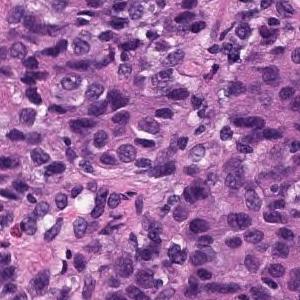
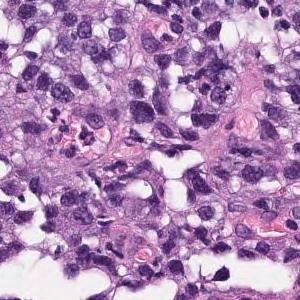
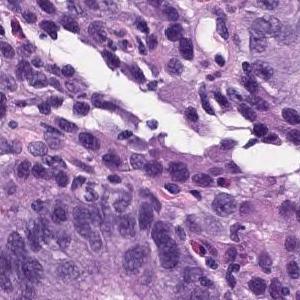
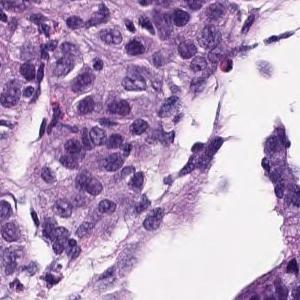
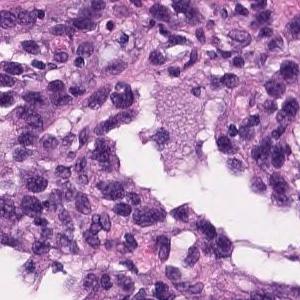
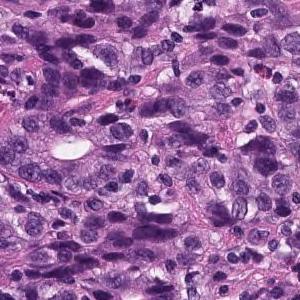
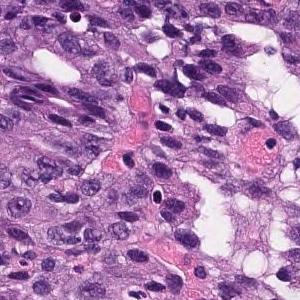
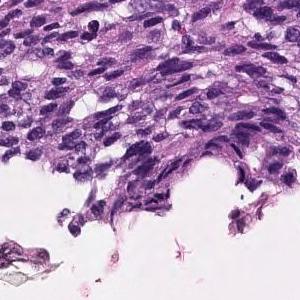
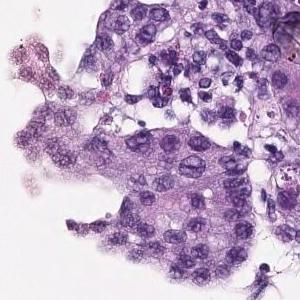
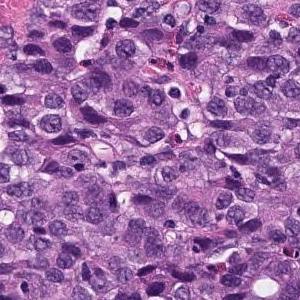
10 tiles from the same stomach biopsy slide · each 300 × 300 pixels · H&E stain · scanned at ×20.
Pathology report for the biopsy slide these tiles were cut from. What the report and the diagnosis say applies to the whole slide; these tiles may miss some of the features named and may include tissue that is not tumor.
In the superficial epithelium, tumor tissue that invades by forming medium-sized to small, irregular ducts is observed. Moderately differentiated adenocarcinoma.
Histologic type: Moderately differentiated tubular adenocarcinoma.
